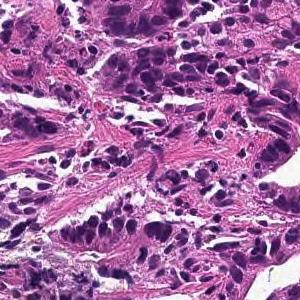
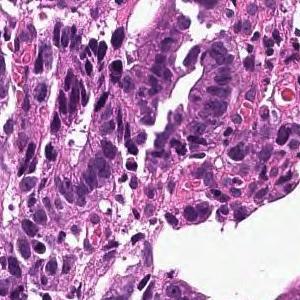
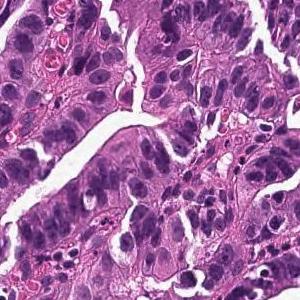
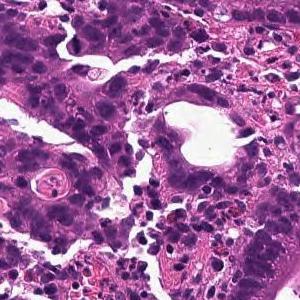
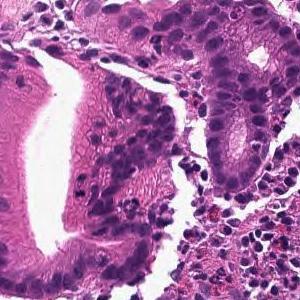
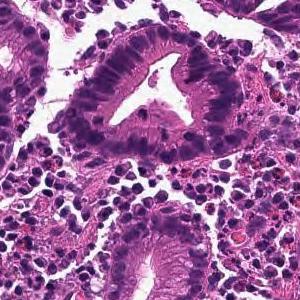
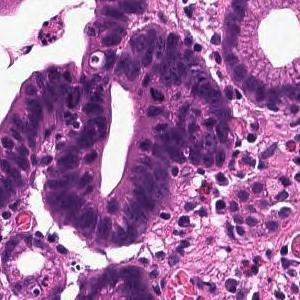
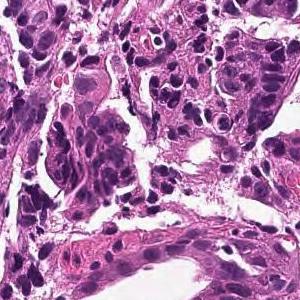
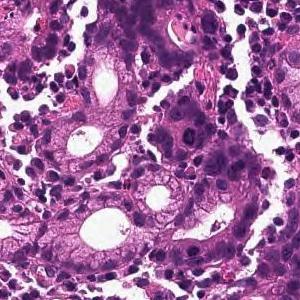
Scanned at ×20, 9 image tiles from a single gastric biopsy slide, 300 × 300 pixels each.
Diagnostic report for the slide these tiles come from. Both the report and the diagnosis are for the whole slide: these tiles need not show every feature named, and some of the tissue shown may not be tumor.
On the superficial epithelium, tumor tissue consisting of large, irregular glandular ducts partially fused and infiltrated is observed. Well to moderately differentiated tubular adenocarcinoma (well differentiated tubular adenocarcinoma, moderately differentiated tubular adenocarcinoma)
Subtype: Well to moderately differentiated tubular adenocarcinoma.
